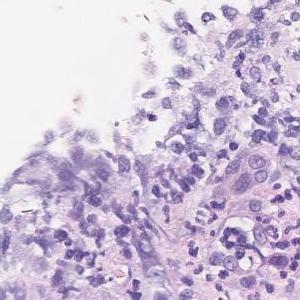
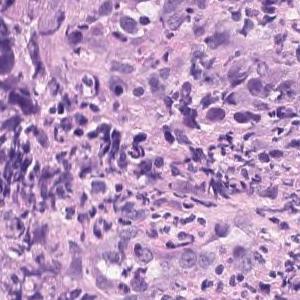
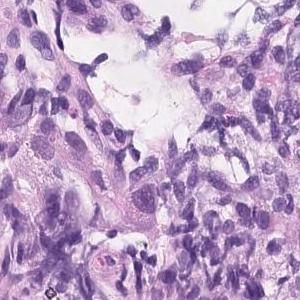
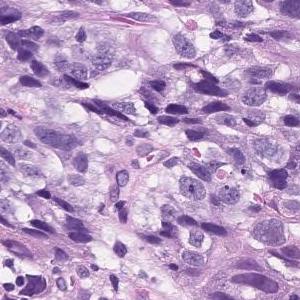
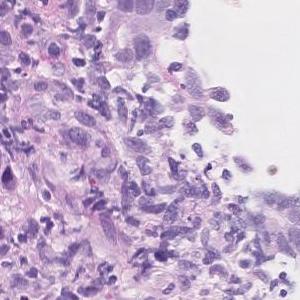
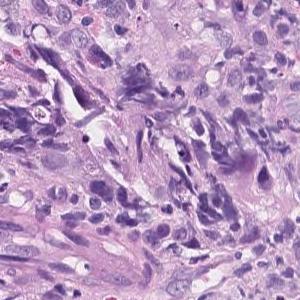
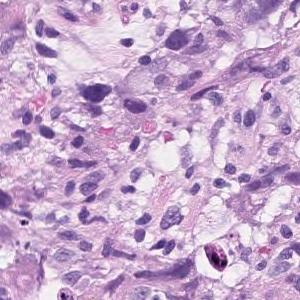
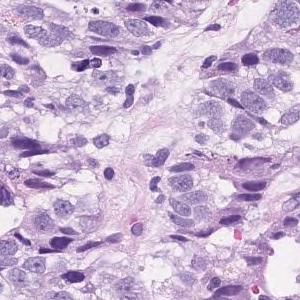
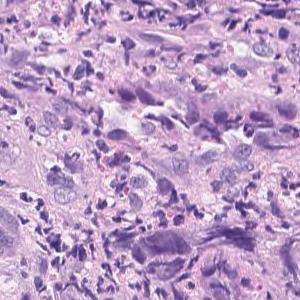
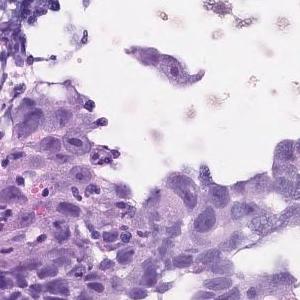
H&E stain, 10 image tiles from a single gastric biopsy slide, each 300 × 300 pixels.
Diagnostic report for the slide these tiles come from. The report and the diagnosis cover the entire slide, so not every feature they name need be visible here, and some tissue shown may not be tumor.
Atypical epithelial cells infiltrating and proliferating diffusely or while forming vesicles is observed. Poorly differentiated adenocarcinoma (poorly differentiated adenocarcinoma, solid type moderately differentiated tubular adenocarcinoma)
The dataset labels this slide poorly differentiated adenocarcinoma, solid type, a category of the Japanese Classification of Gastric Carcinoma; in the WHO 2019 classification it is tubular adenocarcinoma, poorly differentiated.
